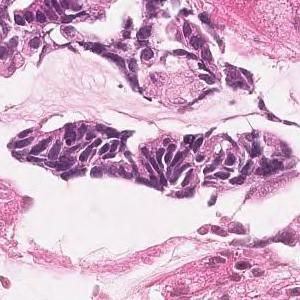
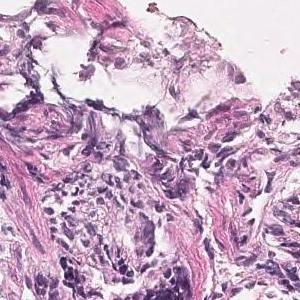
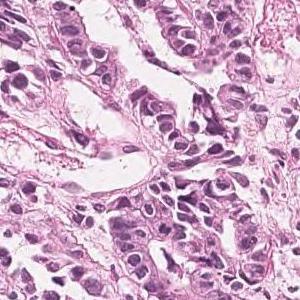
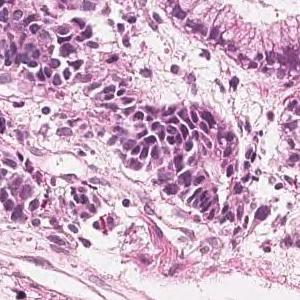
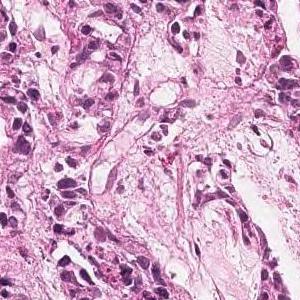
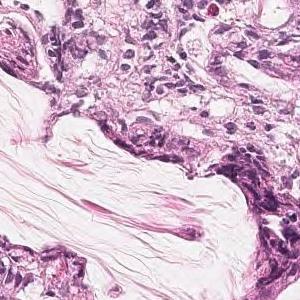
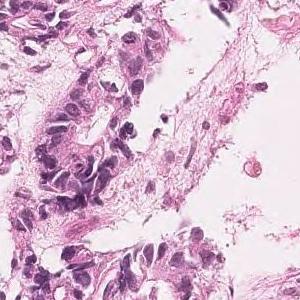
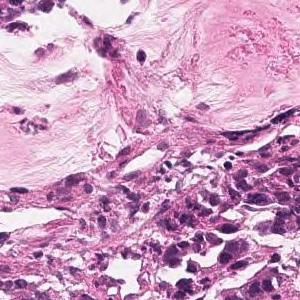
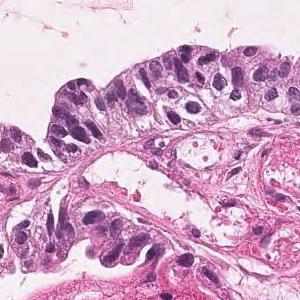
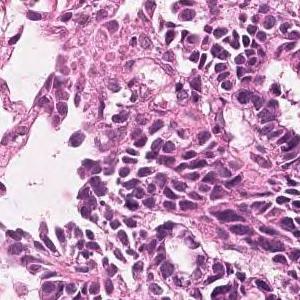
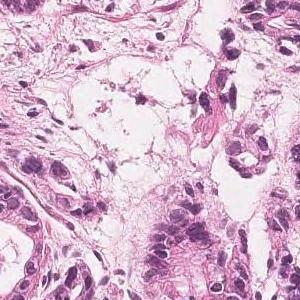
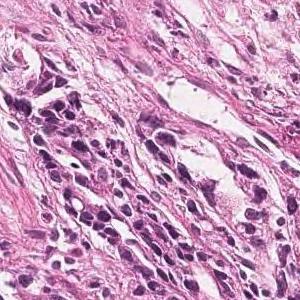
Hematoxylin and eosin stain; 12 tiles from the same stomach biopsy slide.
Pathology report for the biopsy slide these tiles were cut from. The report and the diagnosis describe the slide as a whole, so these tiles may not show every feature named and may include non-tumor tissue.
On the superficial epithelium, tumor tissue consisting of large, irregular glandular ducts partially fused and infiltrated is observed. Well to moderately differentiated tubular adenocarcinoma (well differentiated tubular adenocarcinoma, moderately differentiated tubular adenocarcinoma)
Tumor subtype: well to moderately differentiated tubular adenocarcinoma.
